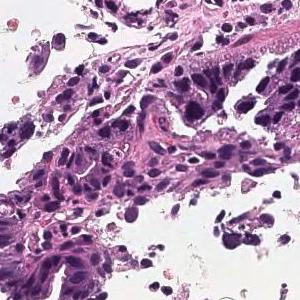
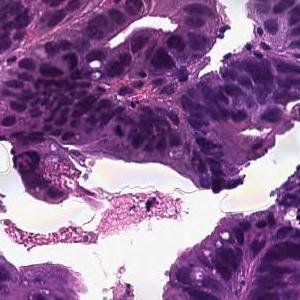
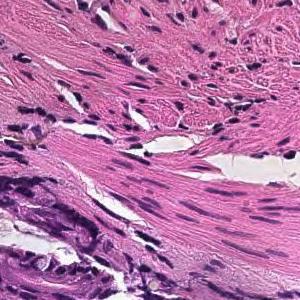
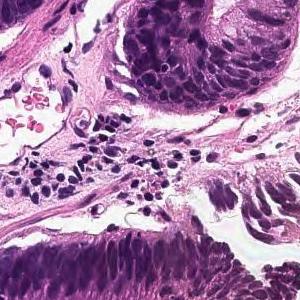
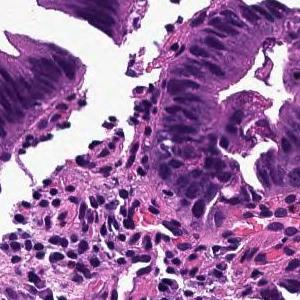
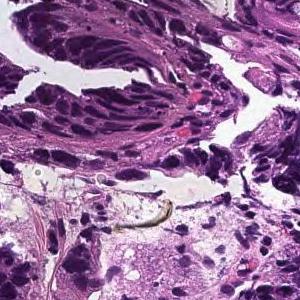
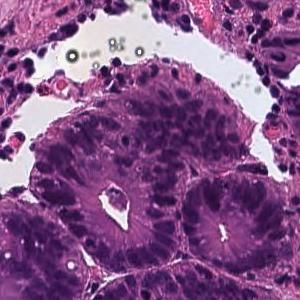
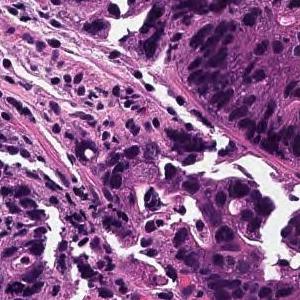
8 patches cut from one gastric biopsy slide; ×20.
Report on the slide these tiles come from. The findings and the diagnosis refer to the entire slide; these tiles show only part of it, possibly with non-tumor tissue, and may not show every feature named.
In the superficial epithelium, tumor tissue that invades by forming medium-sized to small, irregular ducts is observed. moderately differentiated tubular adenocarcinoma.
